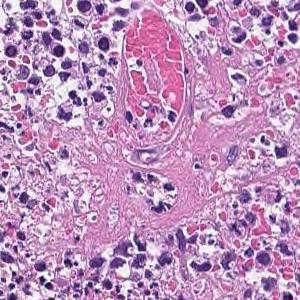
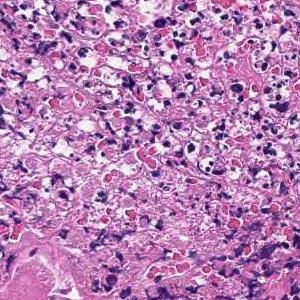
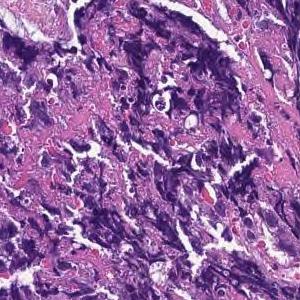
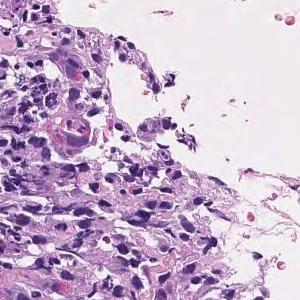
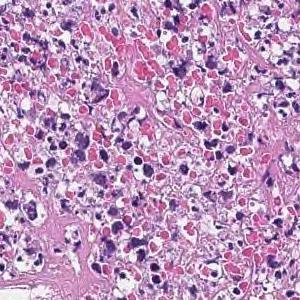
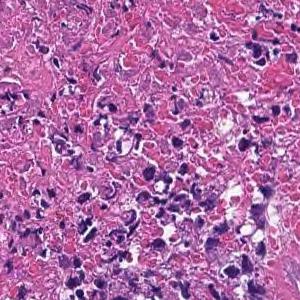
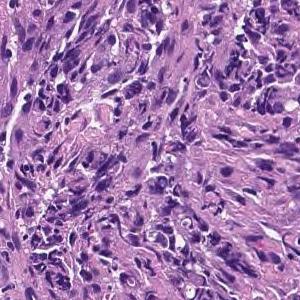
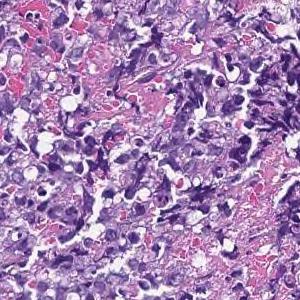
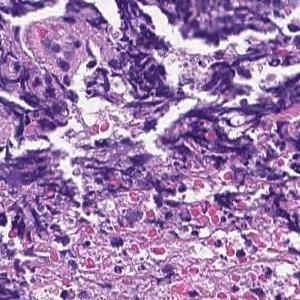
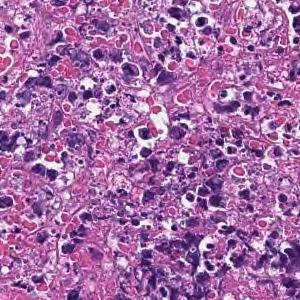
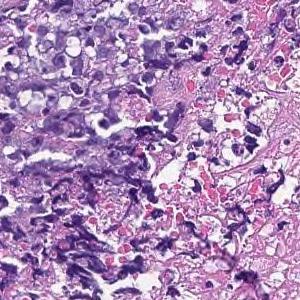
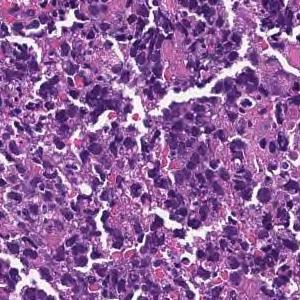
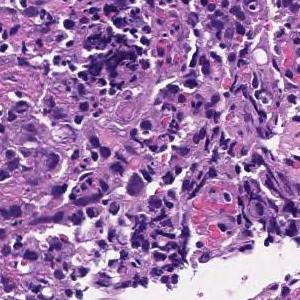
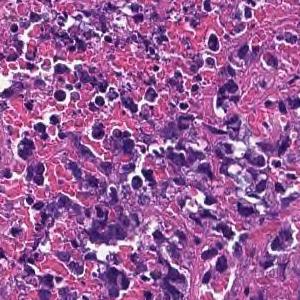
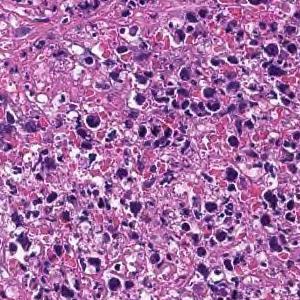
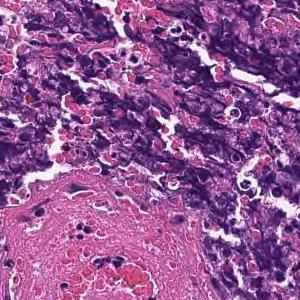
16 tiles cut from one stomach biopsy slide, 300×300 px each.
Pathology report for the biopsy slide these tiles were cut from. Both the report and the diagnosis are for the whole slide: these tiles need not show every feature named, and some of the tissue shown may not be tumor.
Most are composed of coagulative necrotic tissue, but some show a large sheet-like shape, and some show tumor tissue infiltrating with a small cord-like structure. Poorly differentiated adenocarcinoma, solid-type
Tumor subtype: poorly differentiated adenocarcinoma, solid type (Japanese Classification of Gastric Carcinoma). The WHO 2019 equivalent is tubular adenocarcinoma, poorly differentiated.
